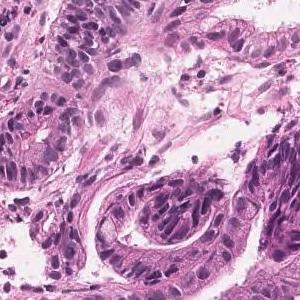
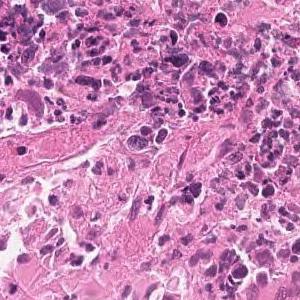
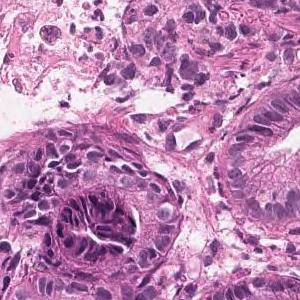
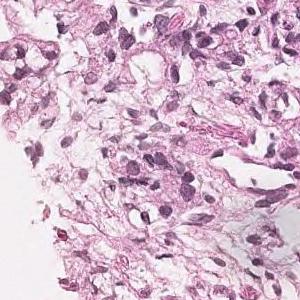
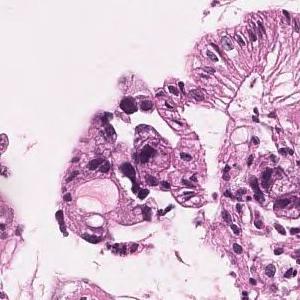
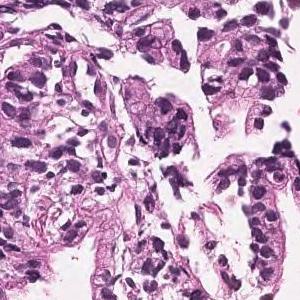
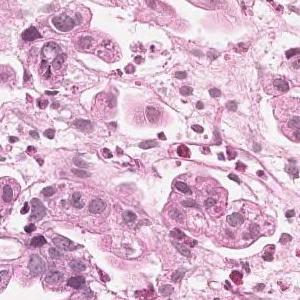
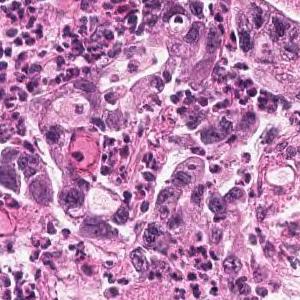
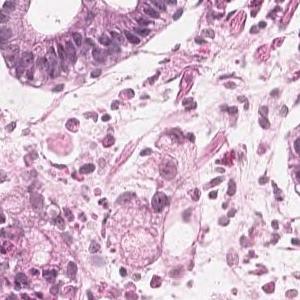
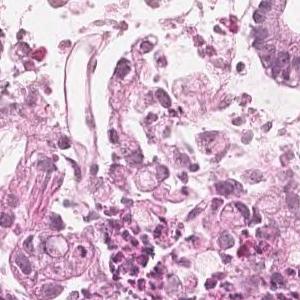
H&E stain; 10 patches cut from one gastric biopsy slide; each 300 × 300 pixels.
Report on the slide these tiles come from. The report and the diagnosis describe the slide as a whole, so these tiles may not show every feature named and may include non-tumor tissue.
In the superficial epithelium, medium to small irregular gland ducts are formed, and in some cases, the ducts are fused to show solid alveolar lesions and infiltrating tumor tissue is observed. Moderately to poorly differentiated adenocarcinoma
